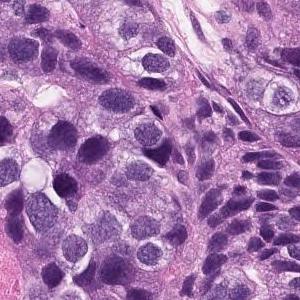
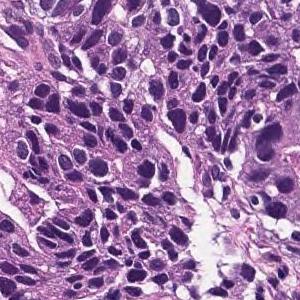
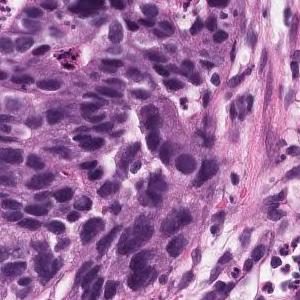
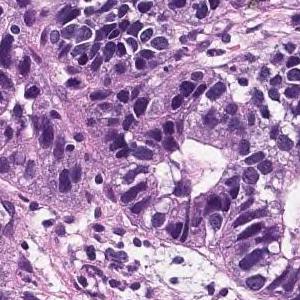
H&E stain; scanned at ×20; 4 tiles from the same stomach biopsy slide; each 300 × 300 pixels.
Pathology report for the biopsy slide these tiles were cut from. Both the report and the diagnosis are for the whole slide: these tiles need not show every feature named, and some of the tissue shown may not be tumor.
Medium to small, irregular glandular ducts are formed in the superficial epithelium, and in some cases, the glandular ducts are fused to show solid alveolar lesions and infiltrating tumor tissue is observed. Moderately to poorly differentiated adenocarcinoma.
